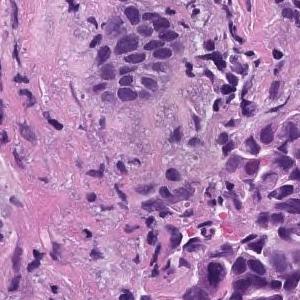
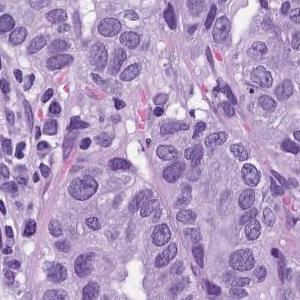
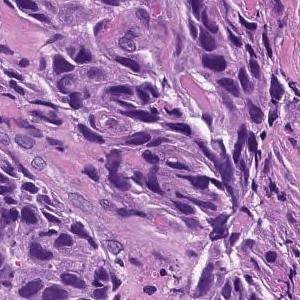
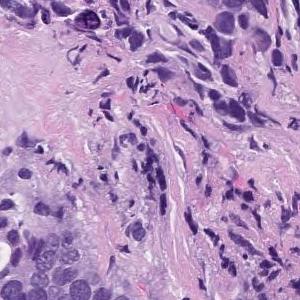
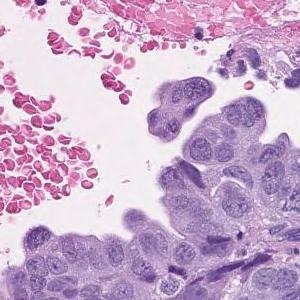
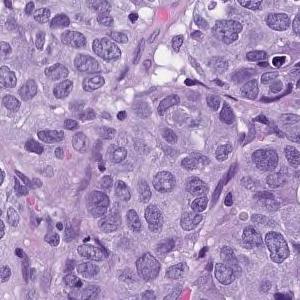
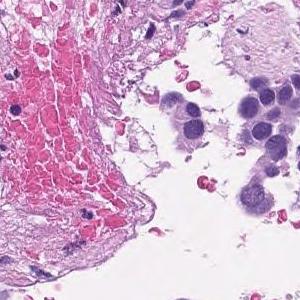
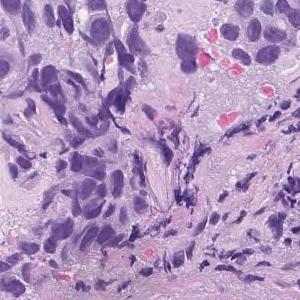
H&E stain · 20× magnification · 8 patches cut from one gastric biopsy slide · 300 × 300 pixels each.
The pathologist's report on the biopsy slide these tiles were taken from. What the report and the diagnosis say applies to the whole slide; these tiles may miss some of the features named and may include tissue that is not tumor.
In the superficial epithelium, tumor tissue that invades by forming medium-sized to small, irregular ducts is observed. moderately differentiated tubular adenocarcinoma.
